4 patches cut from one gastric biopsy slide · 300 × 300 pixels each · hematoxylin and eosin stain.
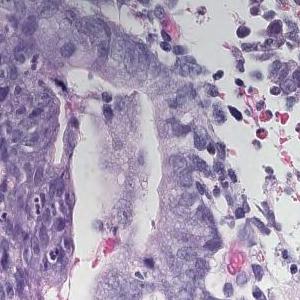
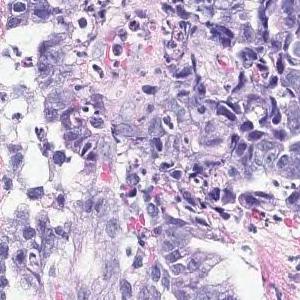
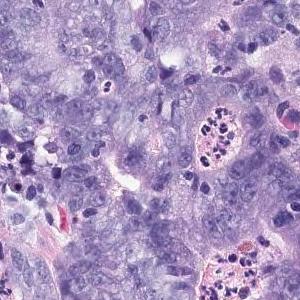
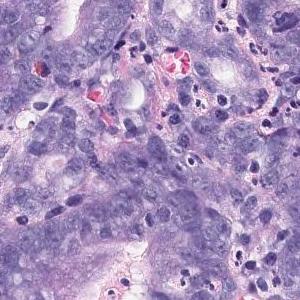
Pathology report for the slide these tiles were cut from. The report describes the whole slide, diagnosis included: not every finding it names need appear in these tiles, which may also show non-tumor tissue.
In the superficial epithelium, tumor tissue that invades by forming medium-sized to small, irregular ducts is observed. Moderately differentiated adenocarcinoma.
Classified as moderately differentiated tubular adenocarcinoma.
